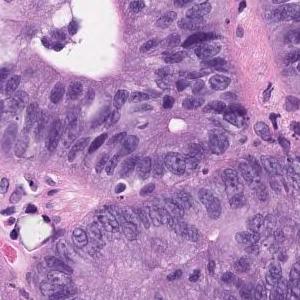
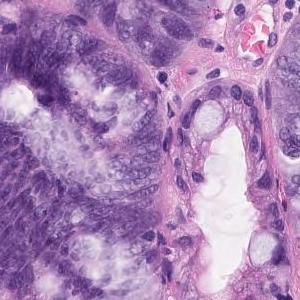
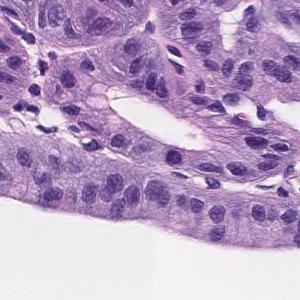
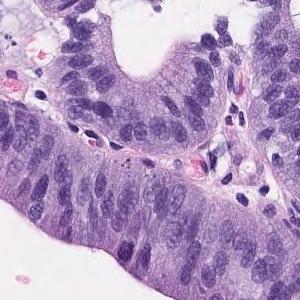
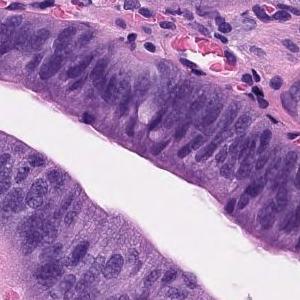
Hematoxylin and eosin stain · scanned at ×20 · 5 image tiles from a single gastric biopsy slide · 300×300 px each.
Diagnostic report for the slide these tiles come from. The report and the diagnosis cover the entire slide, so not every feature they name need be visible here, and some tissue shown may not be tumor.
On the superficial epithelium, tumor tissue consisting of images of atypical ducts of different sizes partially fused and densely proliferating is observed. Well differentiated tubular adenocarcinoma
